H&E stain; 11 patches cut from one gastric biopsy slide; 300×300 px each.
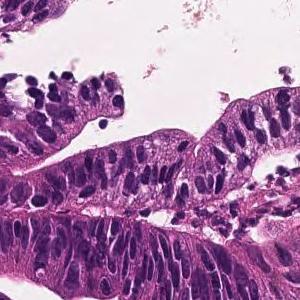
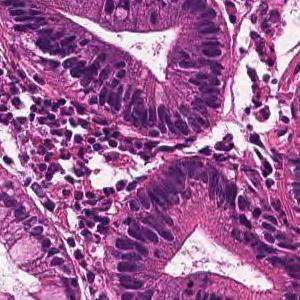
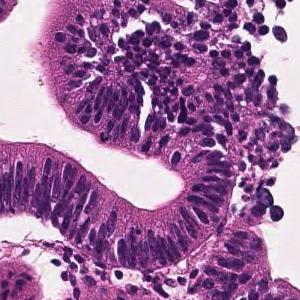
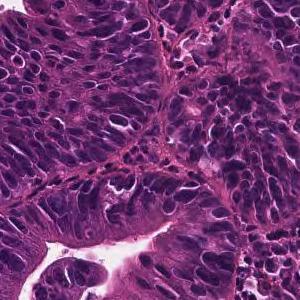
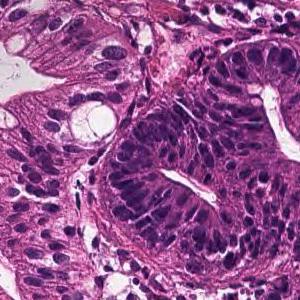
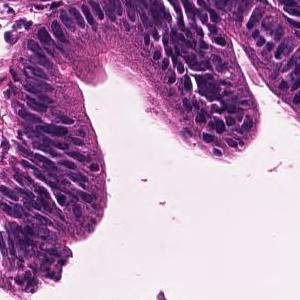
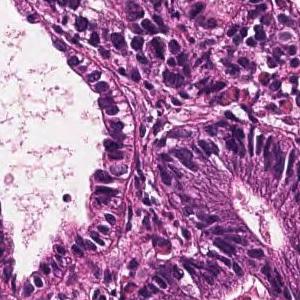
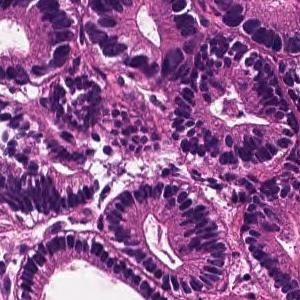
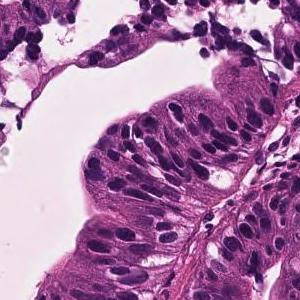
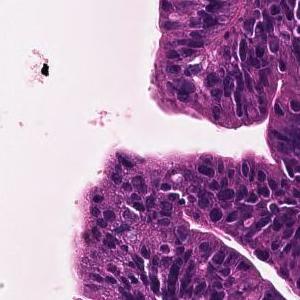
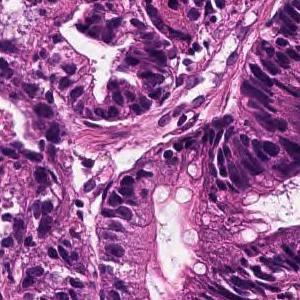
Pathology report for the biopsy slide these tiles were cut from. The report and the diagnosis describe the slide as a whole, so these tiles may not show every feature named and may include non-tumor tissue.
A large irregular tubular structure is exhibited in the epithelium, and tumor tissue that partially fuses and infiltrates and proliferates is observed. Large columnar tumor cells exhibit enlarged nucleus, hyperchromatism, and mitotic figures. Well differentiated tubular adenocarcinoma
